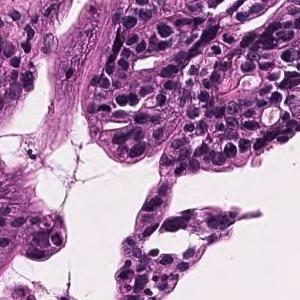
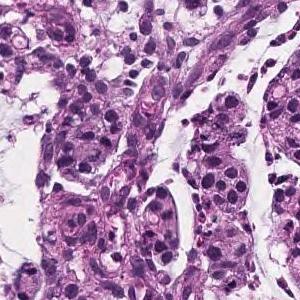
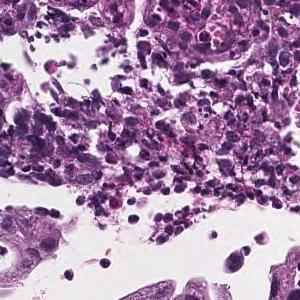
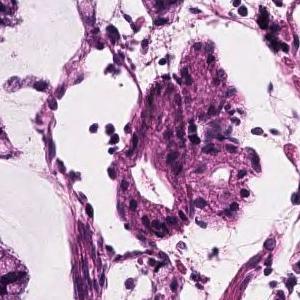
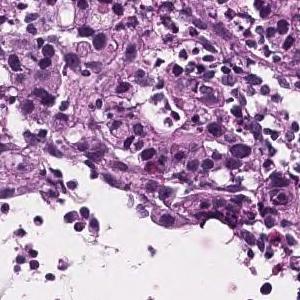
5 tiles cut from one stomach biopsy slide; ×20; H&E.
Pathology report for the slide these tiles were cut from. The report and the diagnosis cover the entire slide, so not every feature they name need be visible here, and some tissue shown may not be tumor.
Atypical epithelial cells form obscure ductal structures or small solid follicles, and tumor tissue that proliferates invasively with proliferation of inflammatory granulation tissue is observed. Mucinous adenocarcinoma .
